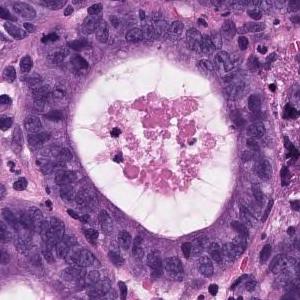
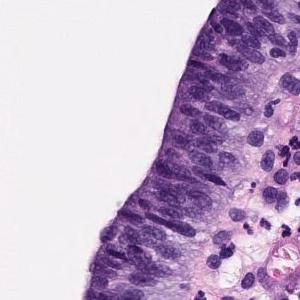
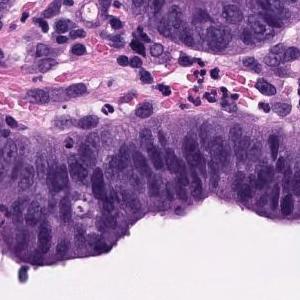
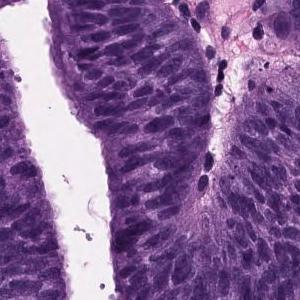
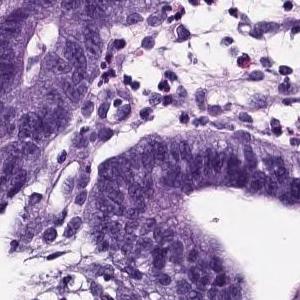
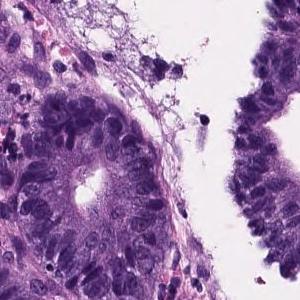
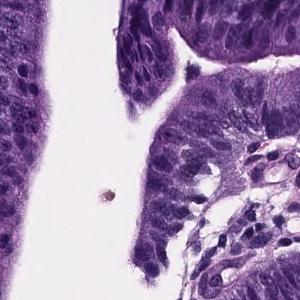
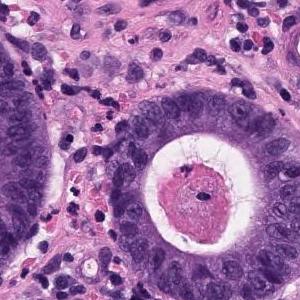
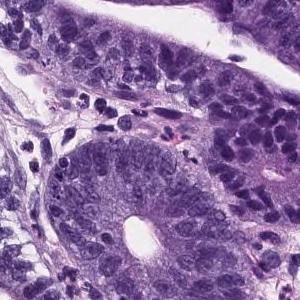
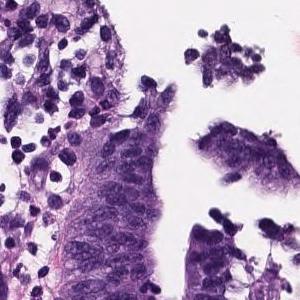
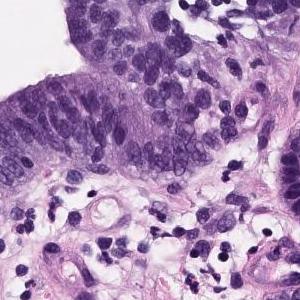
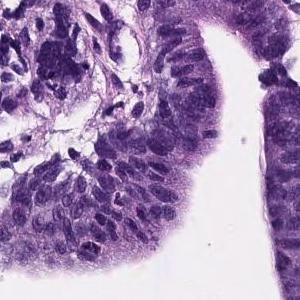
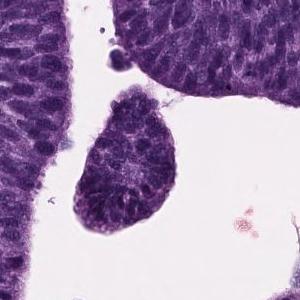
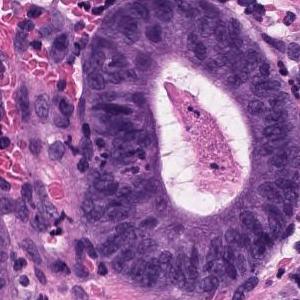
14 tiles cut from one stomach biopsy slide, 300 × 300 pixels each.
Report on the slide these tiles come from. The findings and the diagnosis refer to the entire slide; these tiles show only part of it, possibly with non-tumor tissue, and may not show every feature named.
Papillo-tubular growth of atypical tubules with nuclear swelling is observed. Well differentiated tubular adenocarcinoma
